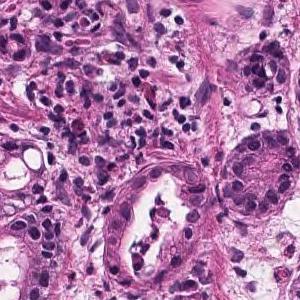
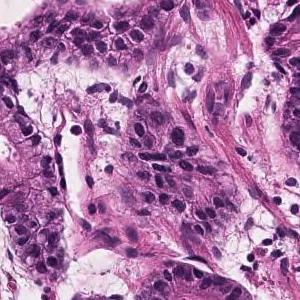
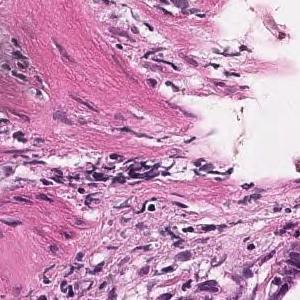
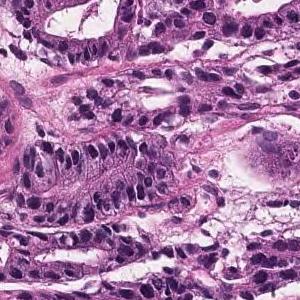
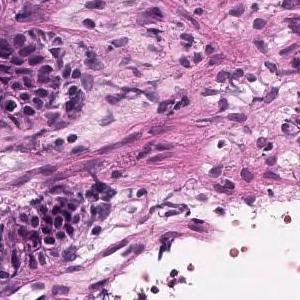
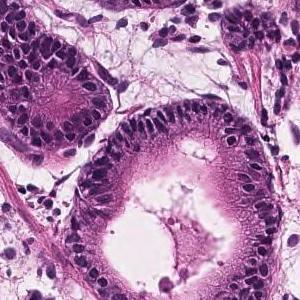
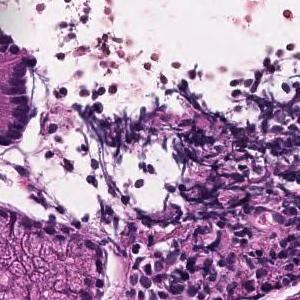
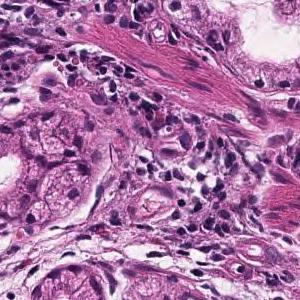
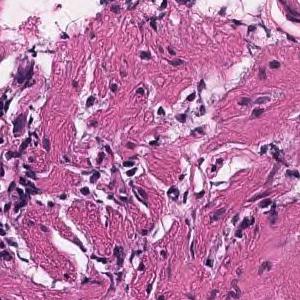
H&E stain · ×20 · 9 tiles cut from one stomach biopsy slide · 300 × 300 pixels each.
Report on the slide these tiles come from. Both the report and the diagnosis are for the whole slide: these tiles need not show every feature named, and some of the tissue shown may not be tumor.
Tumor tissue with atypical epithelium showing irregular ductal or sieving ductal structure and proliferating is observed. Well to moderately differentiated tubular adenocarcinoma (well differentiated tubular adenocarcinoma-moderately differentiated tubular adenocarcinoma)
Histological subtype: Well to moderately differentiated tubular adenocarcinoma.
